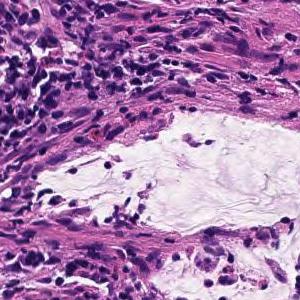
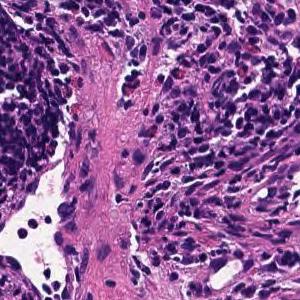
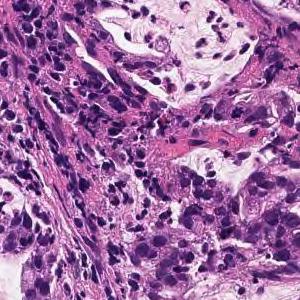
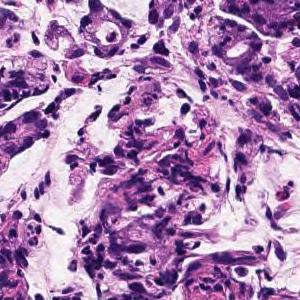
Scanned at ×20; H&E stain; 4 tiles cut from one stomach biopsy slide; each 300 × 300 pixels.
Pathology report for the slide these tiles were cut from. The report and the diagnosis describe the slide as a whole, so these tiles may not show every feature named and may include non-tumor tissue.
On the superficial epithelium, tumor tissue consisting of large, irregular glandular ducts partially fused and infiltrated is observed. Well to moderately differentiated tubular adenocarcinoma (well differentiated tubular adenocarcinoma, moderately differentiated tubular adenocarcinoma)
Tumor subtype: well to moderately differentiated tubular adenocarcinoma.
